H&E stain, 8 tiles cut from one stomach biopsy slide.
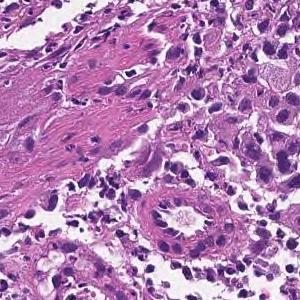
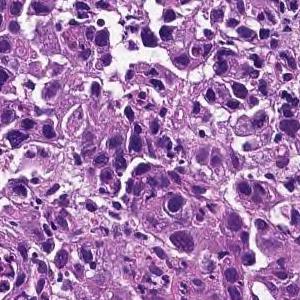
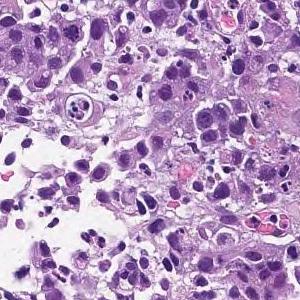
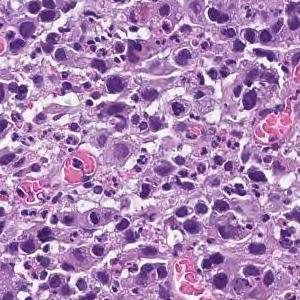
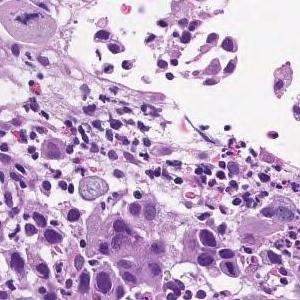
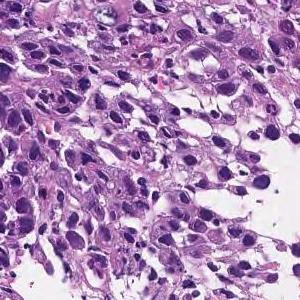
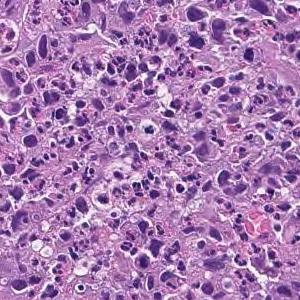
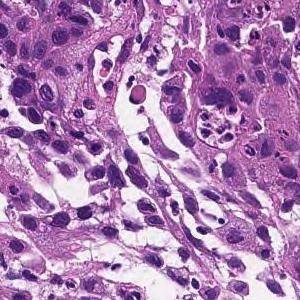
Pathology report for the slide these tiles were cut from. The report and the diagnosis cover the entire slide, so not every feature they name need be visible here, and some tissue shown may not be tumor.
The superficial epithelium shows a large sheet-like shape, and some tumor tissue infiltrates with small irregular ducts. Poorly differentiated adenocarcinoma, solid-type
Tumor subtype: poorly differentiated adenocarcinoma, solid type, a category of the Japanese Classification of Gastric Carcinoma; in the WHO 2019 classification it is tubular adenocarcinoma, poorly differentiated.
